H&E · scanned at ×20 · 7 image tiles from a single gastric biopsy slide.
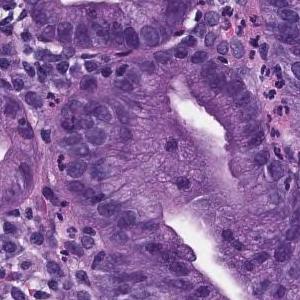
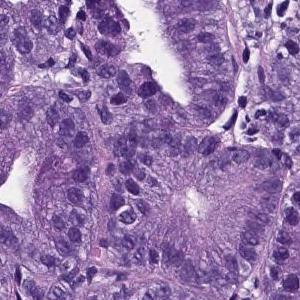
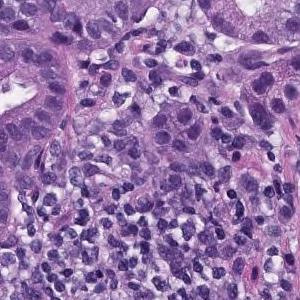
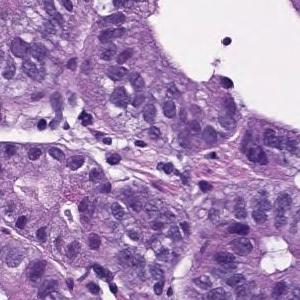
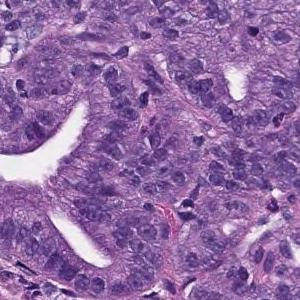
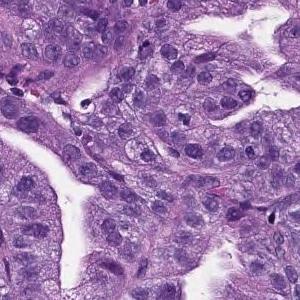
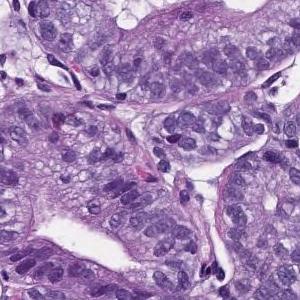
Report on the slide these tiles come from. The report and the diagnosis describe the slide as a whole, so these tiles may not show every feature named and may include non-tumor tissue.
On the superficial epithelium, tumor tissue that infiltrates by forming medium-sized papillary or small irregular ducts is observed. Papillary adenocarcinoma
